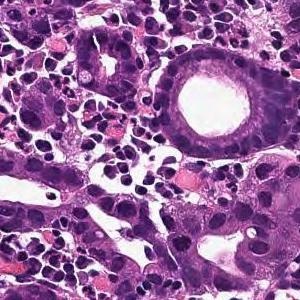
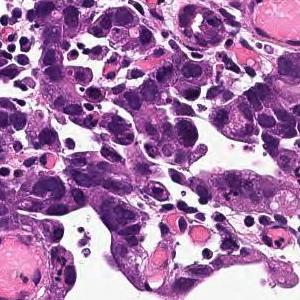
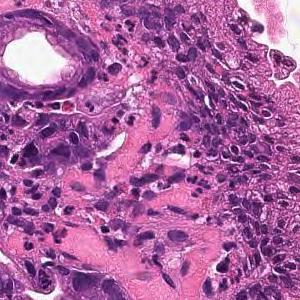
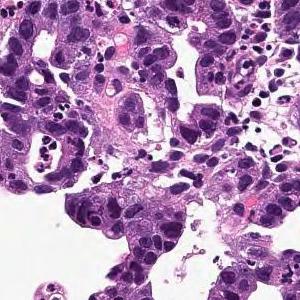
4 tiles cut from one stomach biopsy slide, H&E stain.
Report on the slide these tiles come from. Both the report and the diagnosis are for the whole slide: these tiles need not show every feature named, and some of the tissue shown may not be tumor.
On the superficial epithelium, a tumor tissue consisting of a large, irregular glandular duct partially fused and infiltrating with a small alveolar shape is observed. Well or moderately differentiated tubular adenocarcinoma (well differentiated tubular adenocarcinoma, moderately differentiated tubular adenocarcinoma)
Tumor subtype: well to moderately differentiated tubular adenocarcinoma.
